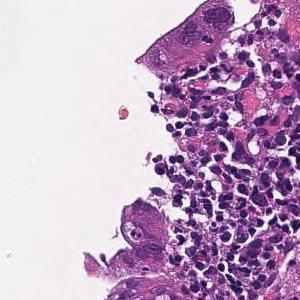
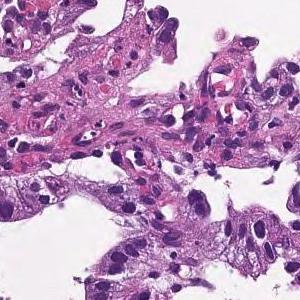
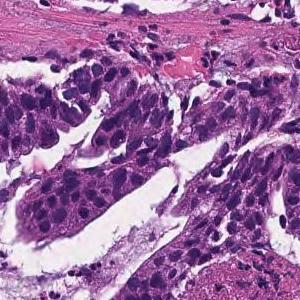
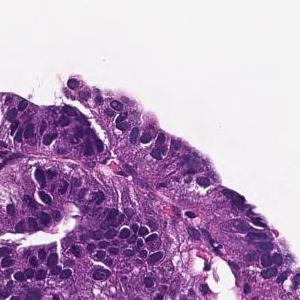
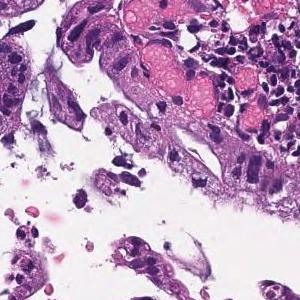
5 tiles cut from one stomach biopsy slide · each 300 × 300 pixels · scanned at ×20 · H&E.
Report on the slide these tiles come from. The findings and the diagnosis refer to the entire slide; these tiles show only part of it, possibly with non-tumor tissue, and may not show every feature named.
From the superficial epithelium to the muscularis mucosae, tumor tissue consisting of medium-sized and irregular glandular ducts infiltrating is observed. Well differentiated tubular adenocarcinoma
